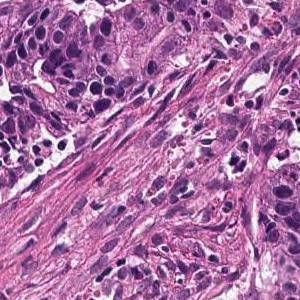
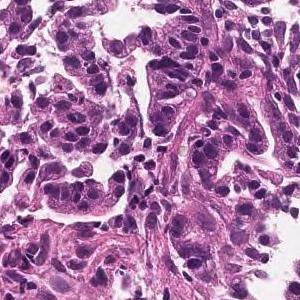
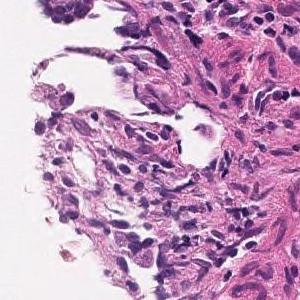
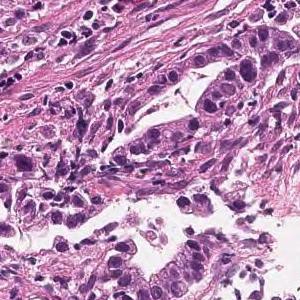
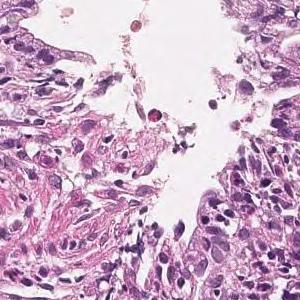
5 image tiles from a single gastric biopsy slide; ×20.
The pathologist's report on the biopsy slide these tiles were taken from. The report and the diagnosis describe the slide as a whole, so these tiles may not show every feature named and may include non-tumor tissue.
Tumor cells are large, highly columnar, large club-shaped nuclei, and are associated with chromatin aggregation. Papillary adenocarcinoma.
